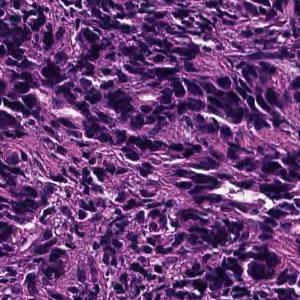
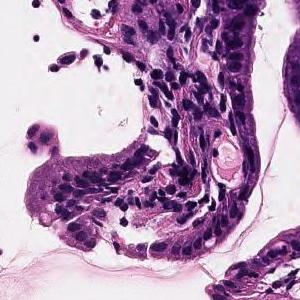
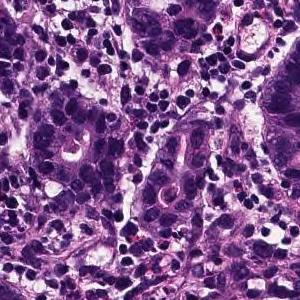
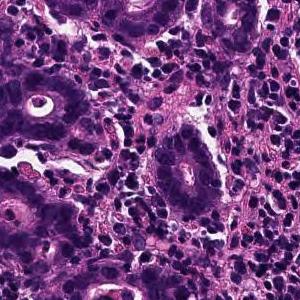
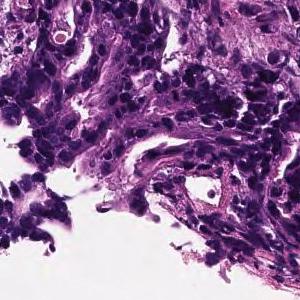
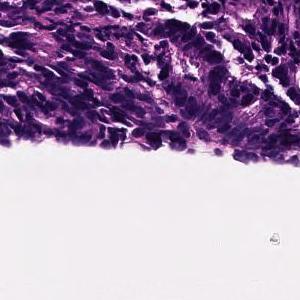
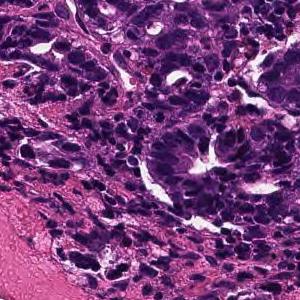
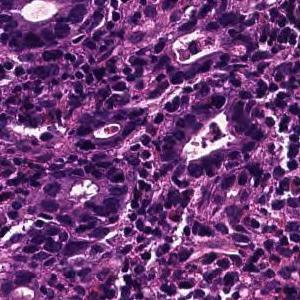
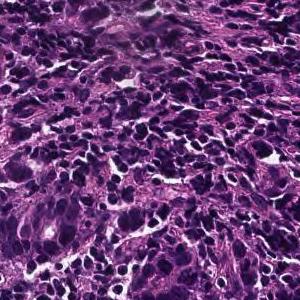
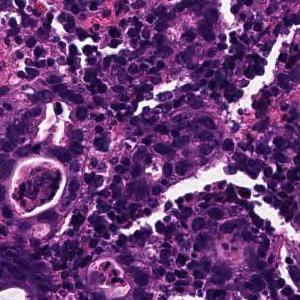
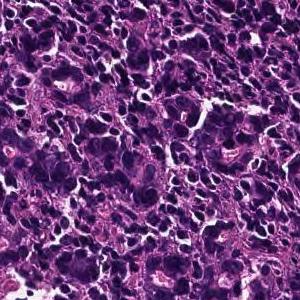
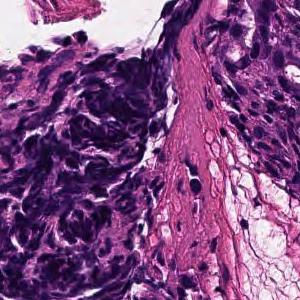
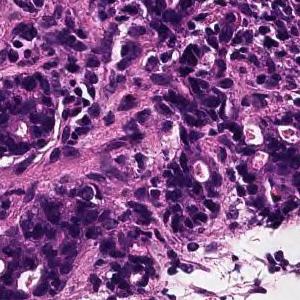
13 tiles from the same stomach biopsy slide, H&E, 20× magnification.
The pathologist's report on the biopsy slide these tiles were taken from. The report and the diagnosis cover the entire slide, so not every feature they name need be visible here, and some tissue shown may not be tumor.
On the superficial epithelium, tumor tissue is found in which medium-sized irregular gland ducts fuse with each other and infiltrate. moderately differentiated tubular adenocarcinoma or Poorly differentiated adenocarcinoma, non-solid type
Histological subtype: Moderately to poorly differentiated adenocarcinoma.
"Non-solid type" is a category of the Japanese Classification of Gastric Carcinoma.
